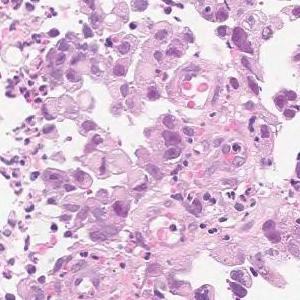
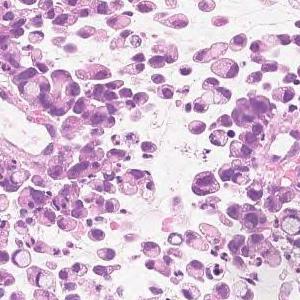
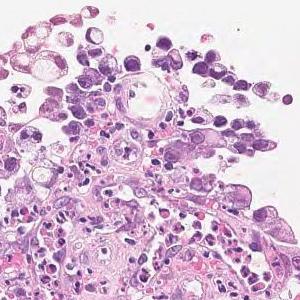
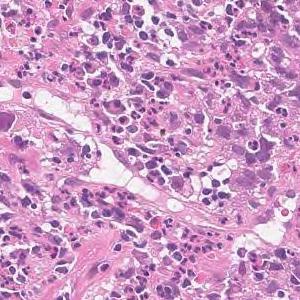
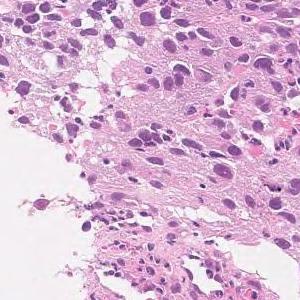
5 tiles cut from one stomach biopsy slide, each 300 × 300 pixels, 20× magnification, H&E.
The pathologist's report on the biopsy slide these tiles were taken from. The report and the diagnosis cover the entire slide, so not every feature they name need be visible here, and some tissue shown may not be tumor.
Medium to small, irregular glandular ducts are formed in the superficial epithelium, and in some cases, the glandular ducts are fused to show solid alveolar lesions and infiltrating tumor tissue is observed. Moderately to poorly differentiated adenocarcinoma.
